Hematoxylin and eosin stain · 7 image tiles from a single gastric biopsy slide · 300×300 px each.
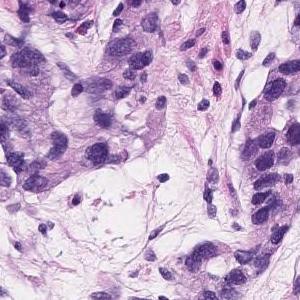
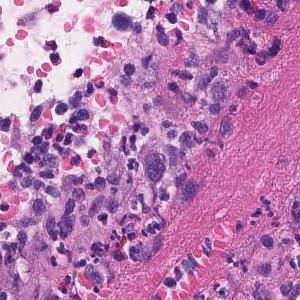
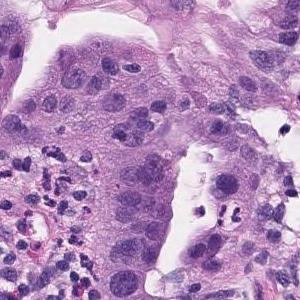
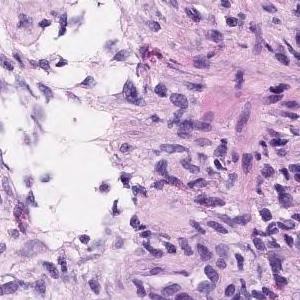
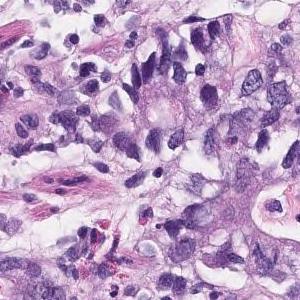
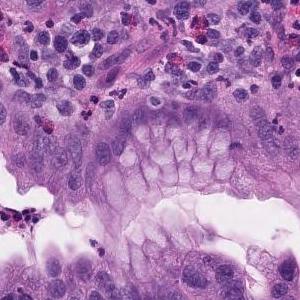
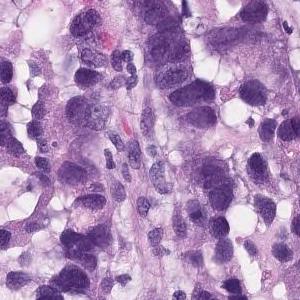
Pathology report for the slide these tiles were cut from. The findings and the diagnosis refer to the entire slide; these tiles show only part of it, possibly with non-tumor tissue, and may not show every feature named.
Group 5, Adenocarcinoma. Moderately to poorly differentiated adenocarcinoma
